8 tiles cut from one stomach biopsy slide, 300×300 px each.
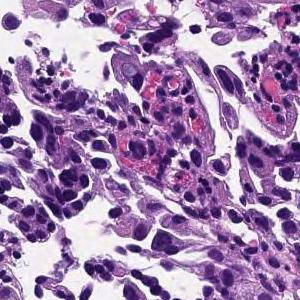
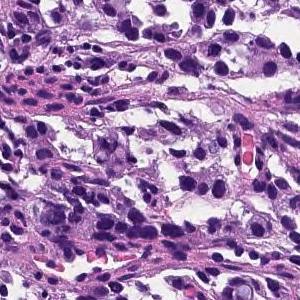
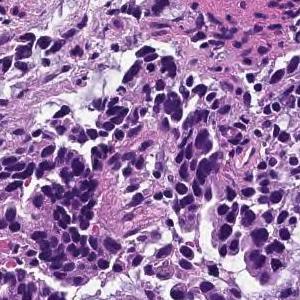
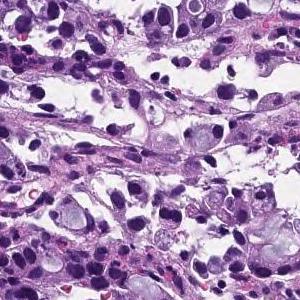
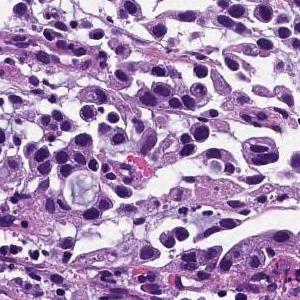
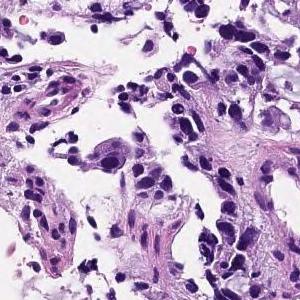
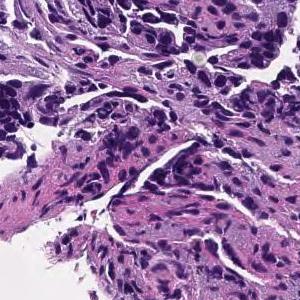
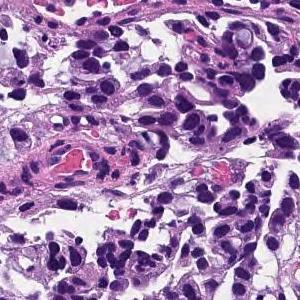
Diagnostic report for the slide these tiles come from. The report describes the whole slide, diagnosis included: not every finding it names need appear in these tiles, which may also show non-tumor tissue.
Tumor tissue consisting of medium-sized, cord-like or irregular glandular infiltration is observed in the superficial epithelium. Poorly differentiated adenocarcinoma, non-solid type or moderately differentiated tubular adenocarcinoma
Classified as moderately to poorly differentiated adenocarcinoma.
The term "non-solid type" comes from the Japanese Classification of Gastric Carcinoma.
